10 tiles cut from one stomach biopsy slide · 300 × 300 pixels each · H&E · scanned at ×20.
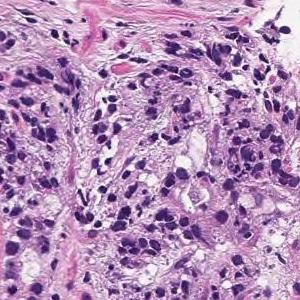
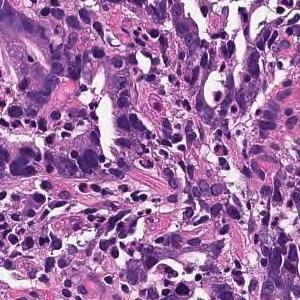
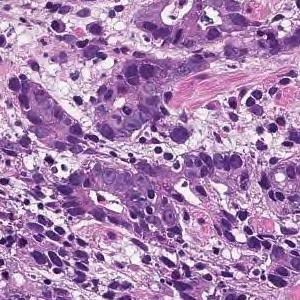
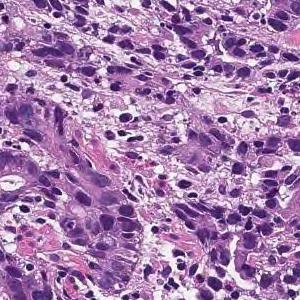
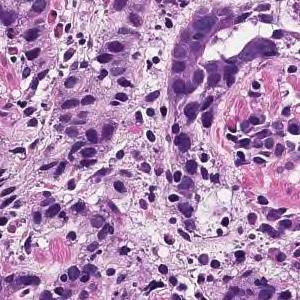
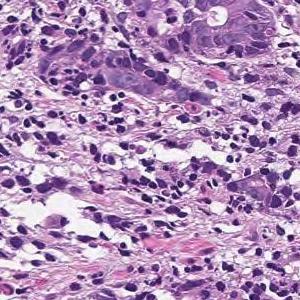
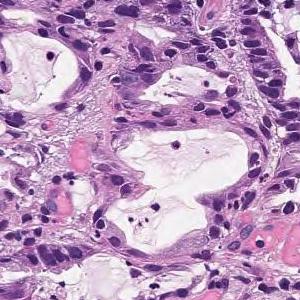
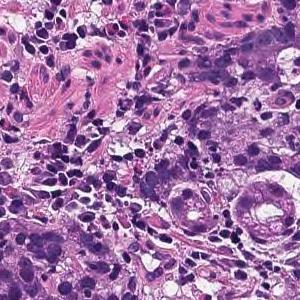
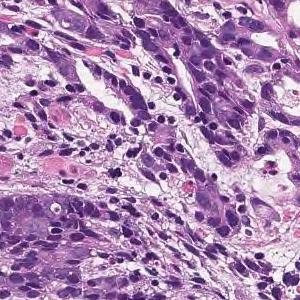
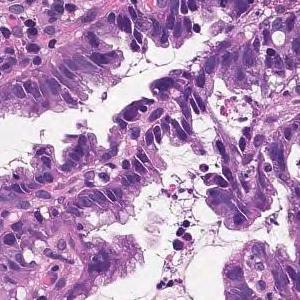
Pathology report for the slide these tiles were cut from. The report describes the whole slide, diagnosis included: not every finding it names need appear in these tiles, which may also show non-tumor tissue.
Tumor tissue consisting of cord-like or small, irregular glandular ducts fused and infiltrated is observed in the superficial epithelium. Poorly differentiated adenocarcinoma, non-solid type
The non-solid type named here is a Japanese Classification of Gastric Carcinoma category.
